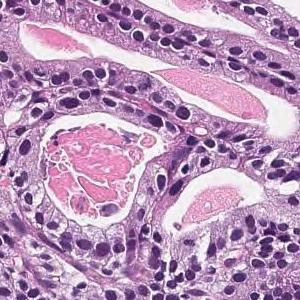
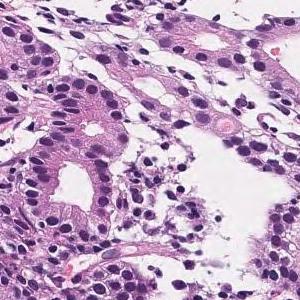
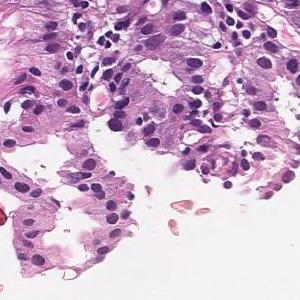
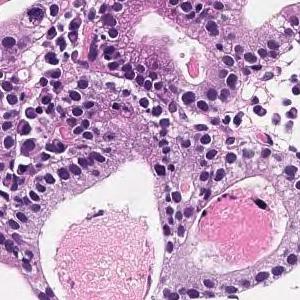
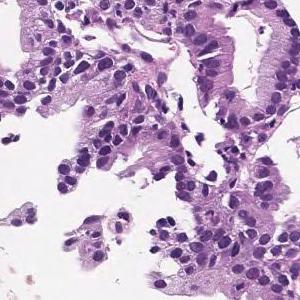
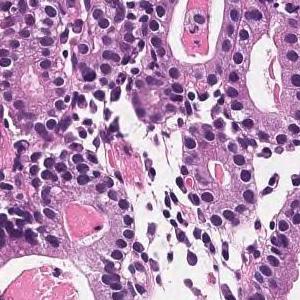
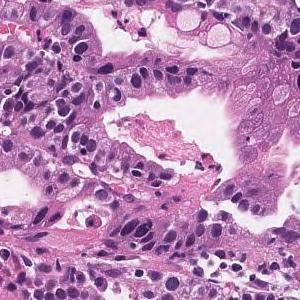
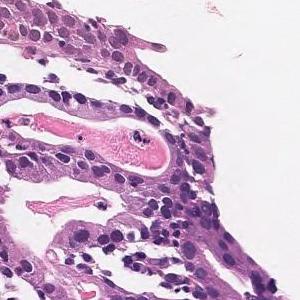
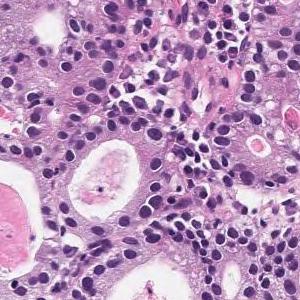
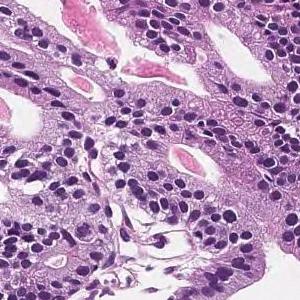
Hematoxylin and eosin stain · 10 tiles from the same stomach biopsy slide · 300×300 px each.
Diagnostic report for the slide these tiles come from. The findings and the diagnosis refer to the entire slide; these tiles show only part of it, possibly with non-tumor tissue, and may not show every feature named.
Medium to small, irregular glandular ducts are formed in the superficial epithelium, and in some cases, the glandular ducts are fused to show solid alveolar lesions and infiltrating tumor tissue is observed. Moderately to poorly differentiated adenocarcinoma.
